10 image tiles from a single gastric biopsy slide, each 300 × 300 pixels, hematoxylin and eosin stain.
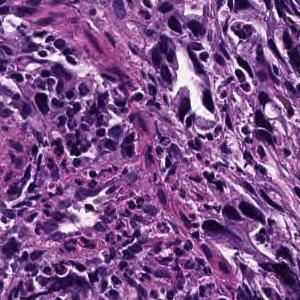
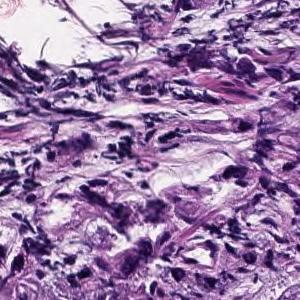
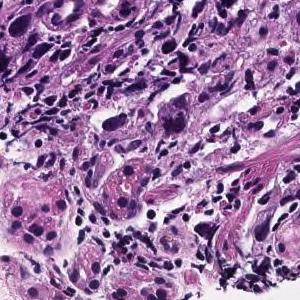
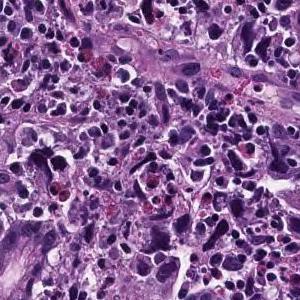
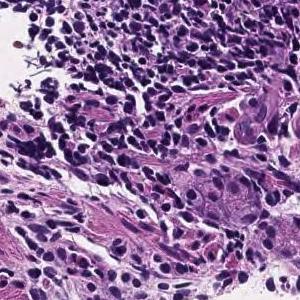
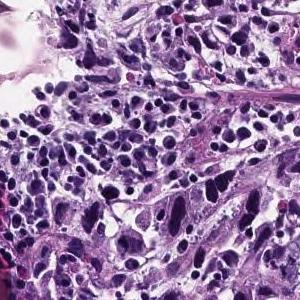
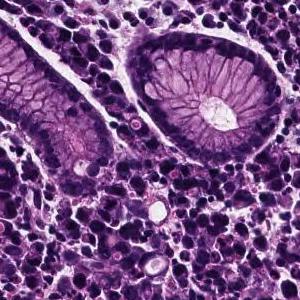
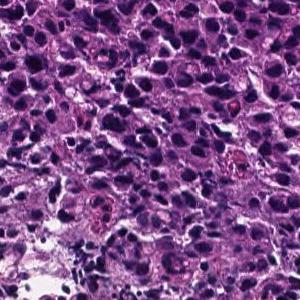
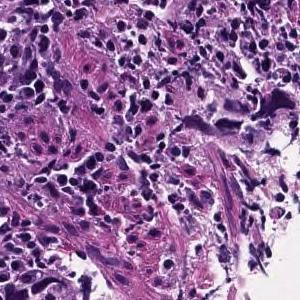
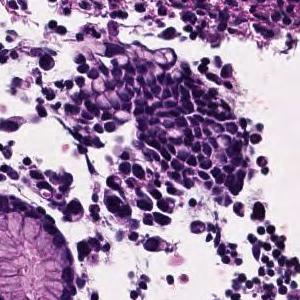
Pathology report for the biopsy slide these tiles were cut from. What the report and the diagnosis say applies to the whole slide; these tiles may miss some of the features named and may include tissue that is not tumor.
The superficial epithelium shows a large sheet-like shape, and some tumor tissue infiltrates with small irregular ducts. Poorly differentiated adenocarcinoma, solid-type
Histological subtype: Poorly differentiated adenocarcinoma, solid type. This name comes from the Japanese Classification of Gastric Carcinoma; the WHO 2019 classification calls it tubular adenocarcinoma, poorly differentiated.
